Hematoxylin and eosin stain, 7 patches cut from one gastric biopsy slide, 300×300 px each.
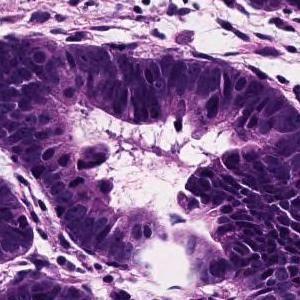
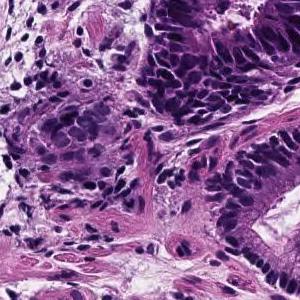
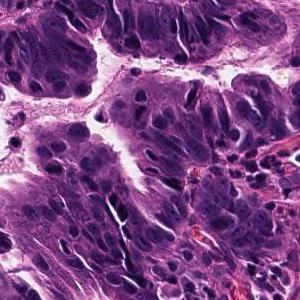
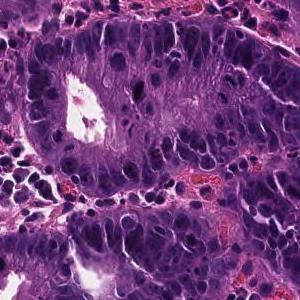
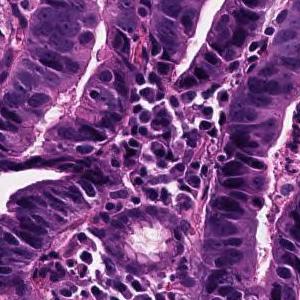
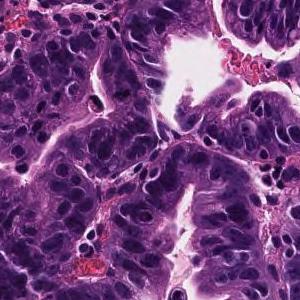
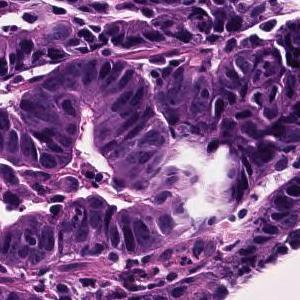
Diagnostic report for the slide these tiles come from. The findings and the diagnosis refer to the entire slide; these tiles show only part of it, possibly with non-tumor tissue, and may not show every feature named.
On the superficial epithelium, tumor tissue consisting of growth of medium-sized to large-sized, round or irregular glandular ducts is observed. Well differentiated tubular adenocarcinoma
